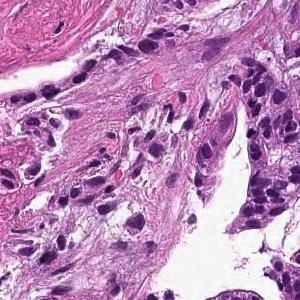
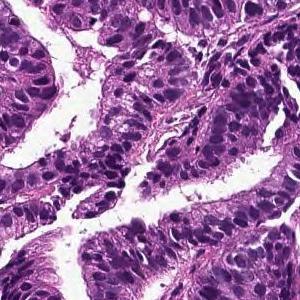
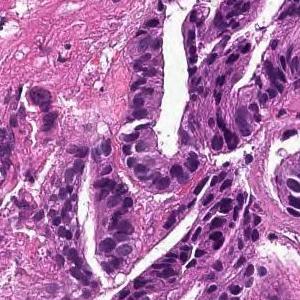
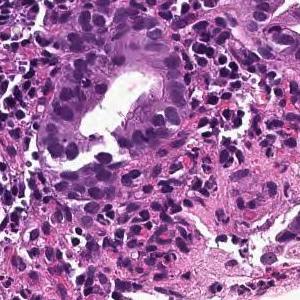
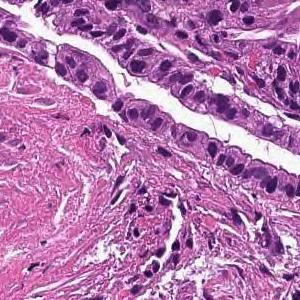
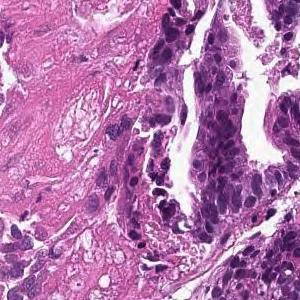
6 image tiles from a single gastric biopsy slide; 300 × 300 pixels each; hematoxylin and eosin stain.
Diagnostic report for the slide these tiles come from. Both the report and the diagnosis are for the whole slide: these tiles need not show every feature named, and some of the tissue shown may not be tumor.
Tumor cells are large, highly columnar, large club-shaped nuclei, and are associated with chromatin aggregation. Papillary adenocarcinoma.
